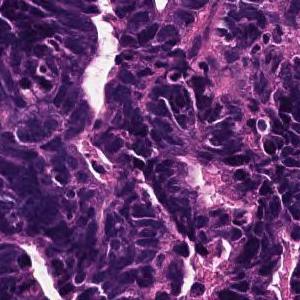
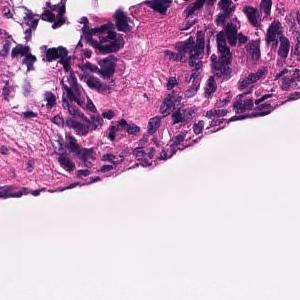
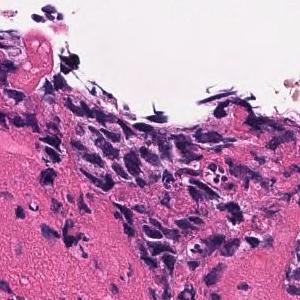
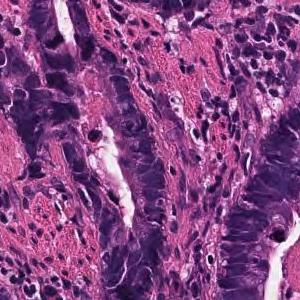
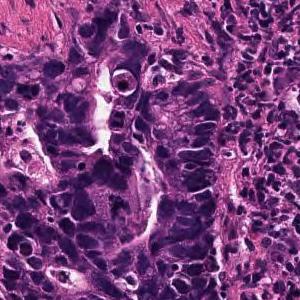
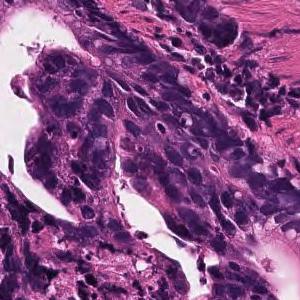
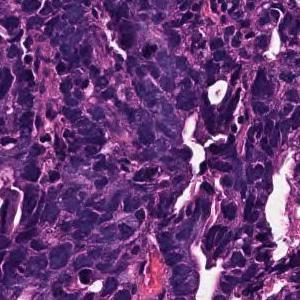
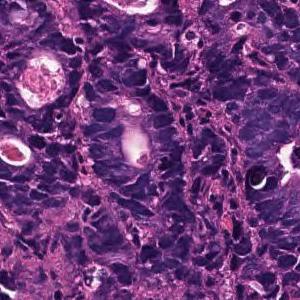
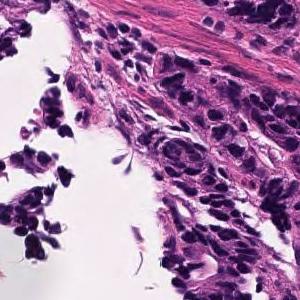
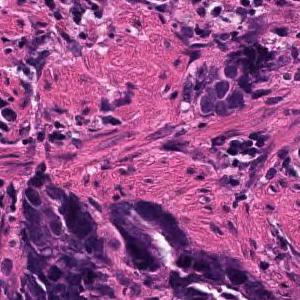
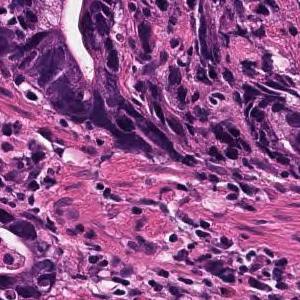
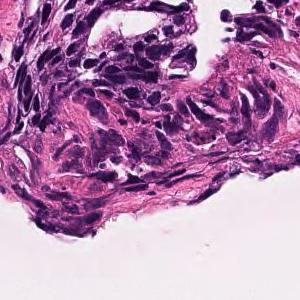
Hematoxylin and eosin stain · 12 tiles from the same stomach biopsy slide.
Diagnostic report for the slide these tiles come from. The findings and the diagnosis refer to the entire slide; these tiles show only part of it, possibly with non-tumor tissue, and may not show every feature named.
Large and small irregular small glandular ducts forming and infiltrating. moderately differentiated tubular adenocarcinoma
